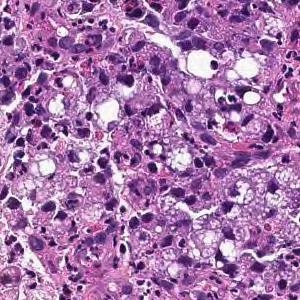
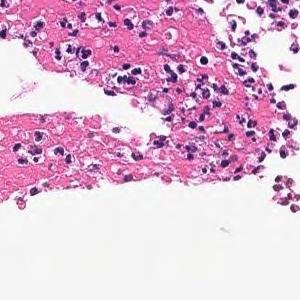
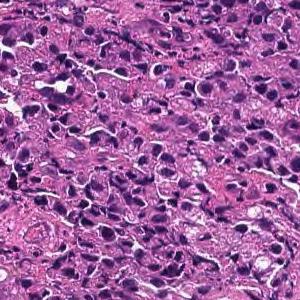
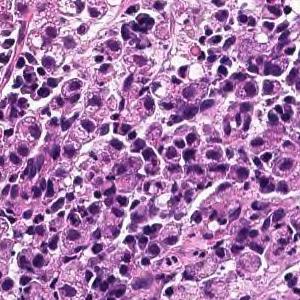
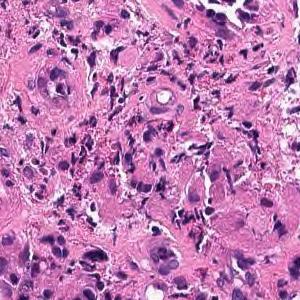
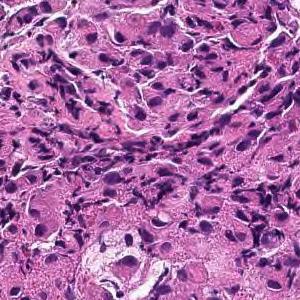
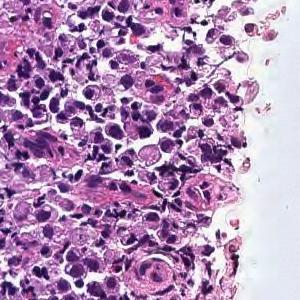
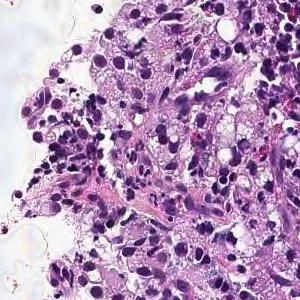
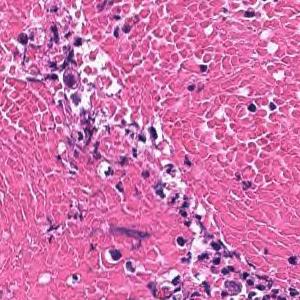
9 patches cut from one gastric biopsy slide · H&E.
Pathology report for the slide these tiles were cut from. The report describes the whole slide, diagnosis included: not every finding it names need appear in these tiles, which may also show non-tumor tissue.
Tumor tissue consisting of diffusely infiltrated large atypical epithelial cells or signet ring atypical cells is observed in the superficial epithelium. Poorly differentiated adenocarcinoma, solid-type
Histologic type: Poorly differentiated adenocarcinoma, solid type. This name comes from the Japanese Classification of Gastric Carcinoma; the WHO 2019 classification calls it tubular adenocarcinoma, poorly differentiated.
